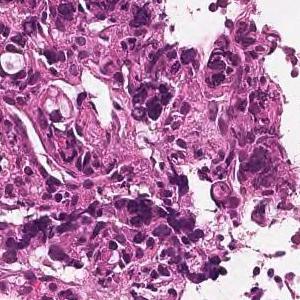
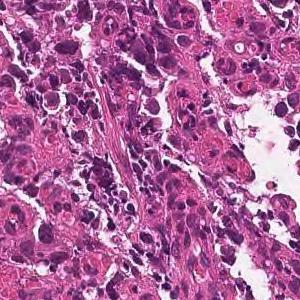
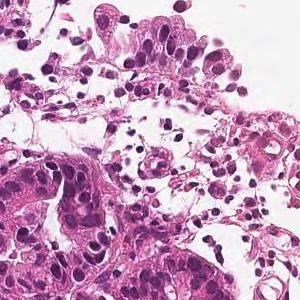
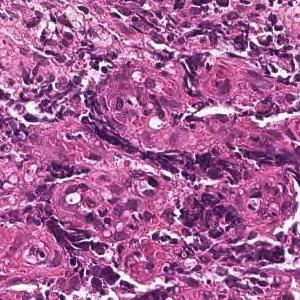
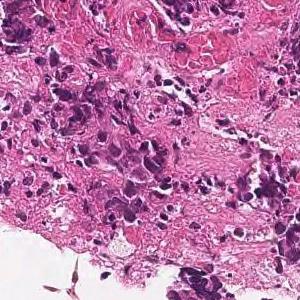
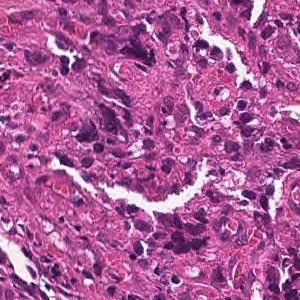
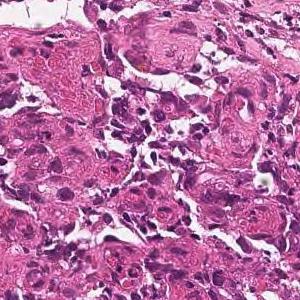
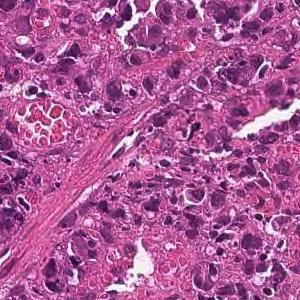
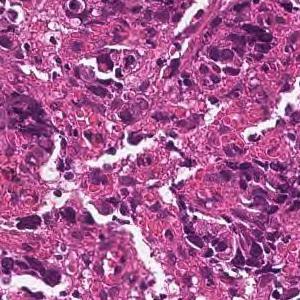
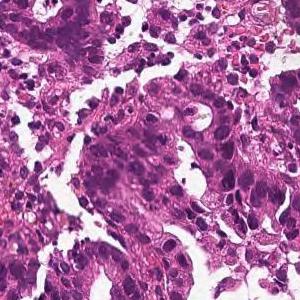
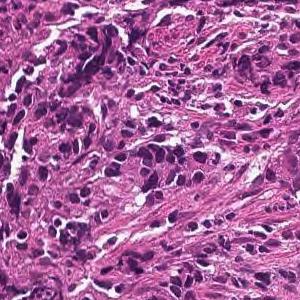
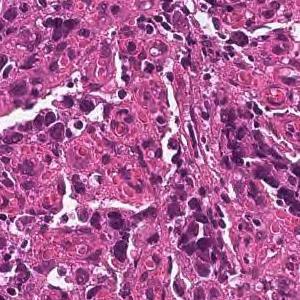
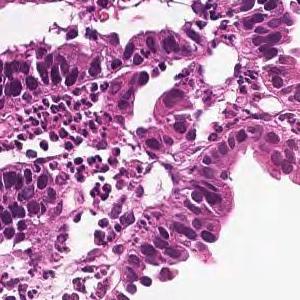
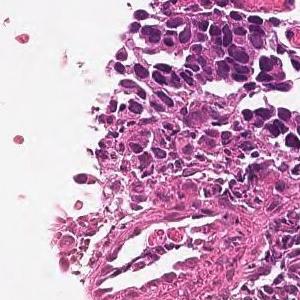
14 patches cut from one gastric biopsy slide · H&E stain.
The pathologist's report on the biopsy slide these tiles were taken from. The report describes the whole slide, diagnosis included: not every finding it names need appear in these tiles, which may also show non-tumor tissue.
Tumor tissue consisting of medium-sized, cord-like or irregular glandular infiltration is observed in the superficial epithelium. Poorly differentiated adenocarcinoma, non-solid type or moderately differentiated tubular adenocarcinoma
Histologic type: Moderately to poorly differentiated adenocarcinoma.
The non-solid type named here is a Japanese Classification of Gastric Carcinoma category.
